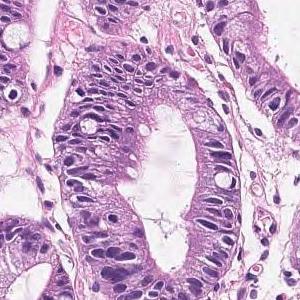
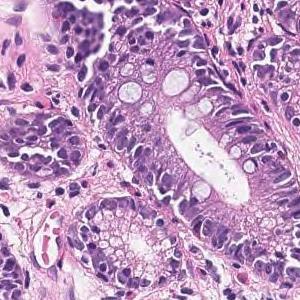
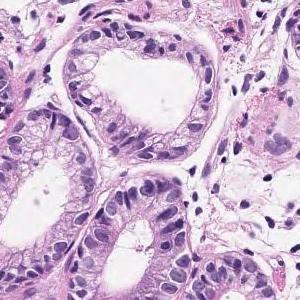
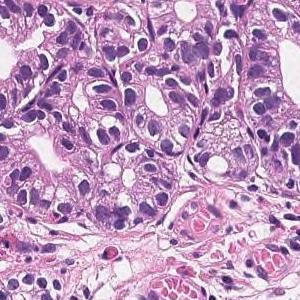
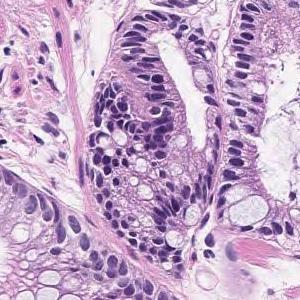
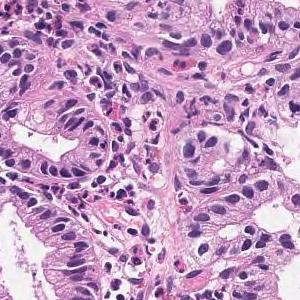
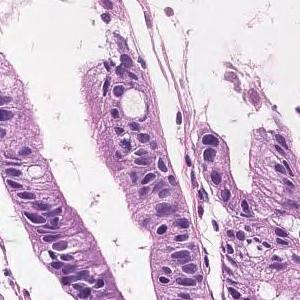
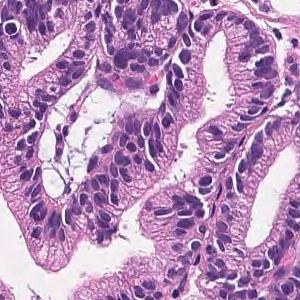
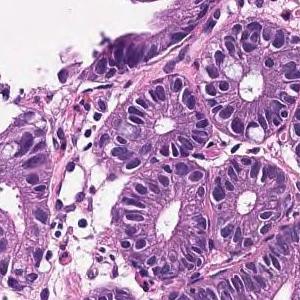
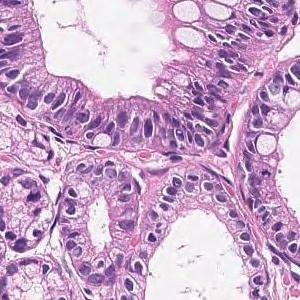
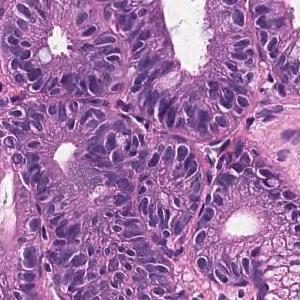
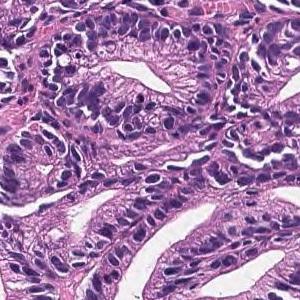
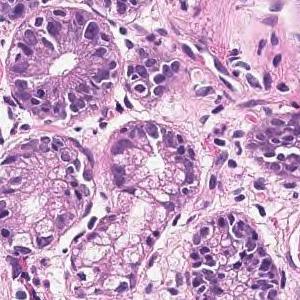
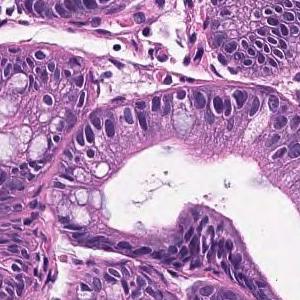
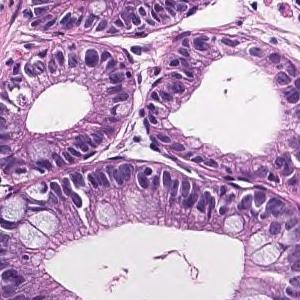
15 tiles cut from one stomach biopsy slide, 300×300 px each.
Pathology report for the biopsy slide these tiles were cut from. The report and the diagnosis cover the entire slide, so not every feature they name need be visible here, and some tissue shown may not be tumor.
In the superficial epithelium, tumor tissue that invades by forming medium-sized to small, irregular ducts is observed. Well differentiated tubular adenocarcinoma.
